8 patches cut from one gastric biopsy slide, 300×300 px each, H&E, ×20.
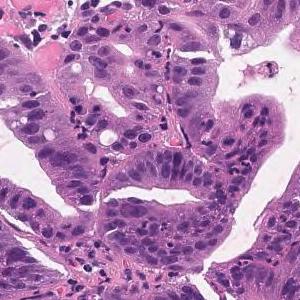
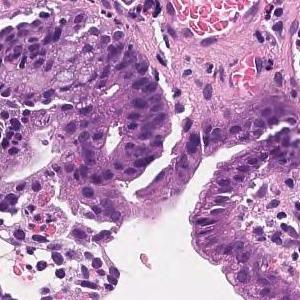
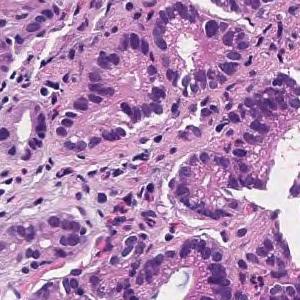
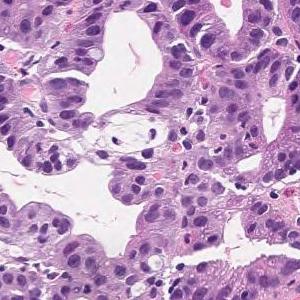
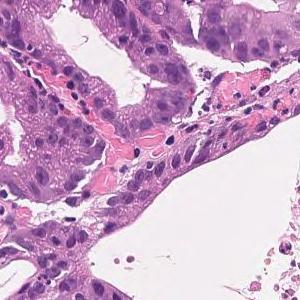
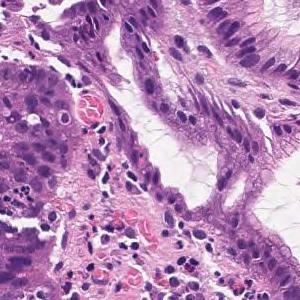
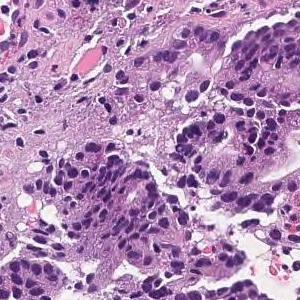
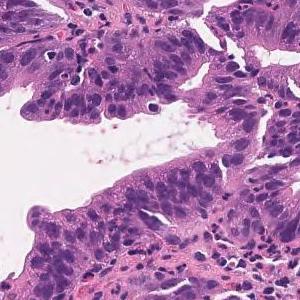
Pathology report for the biopsy slide these tiles were cut from. What the report and the diagnosis say applies to the whole slide; these tiles may miss some of the features named and may include tissue that is not tumor.
On the superficial epithelium, tumor tissue that infiltrates by forming medium-sized papillary or small irregular ducts is observed. Papillary adenocarcinoma
